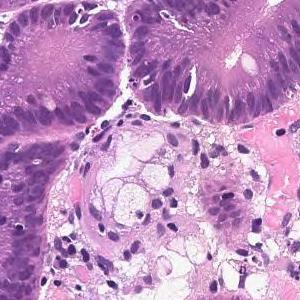
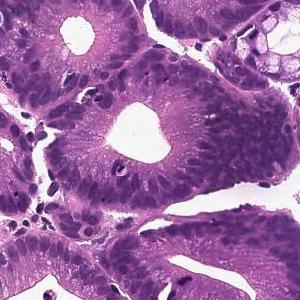
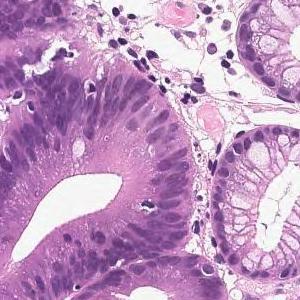
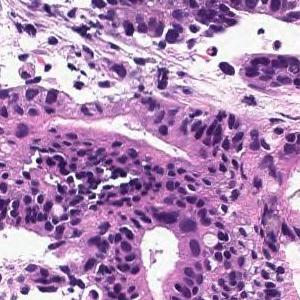
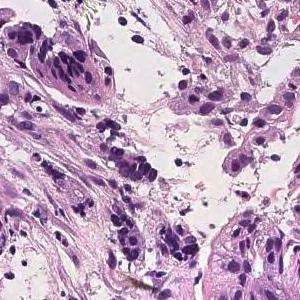
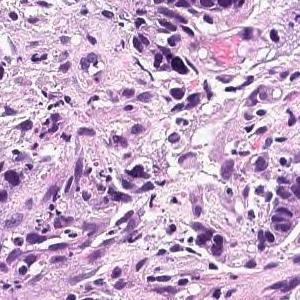
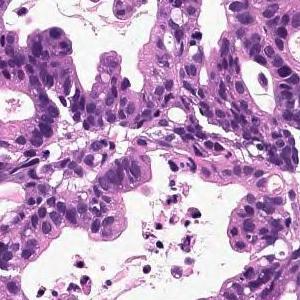
H&E, 7 patches cut from one gastric biopsy slide.
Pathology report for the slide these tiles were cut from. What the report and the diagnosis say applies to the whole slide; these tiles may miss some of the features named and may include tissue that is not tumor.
In the superficial epithelium, tumor tissue that invades by forming medium-sized to small, irregular ducts is observed. moderately differentiated tubular adenocarcinoma.
